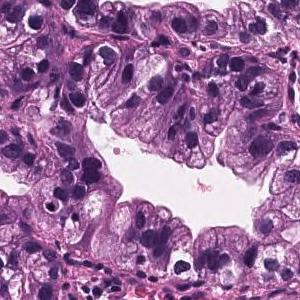
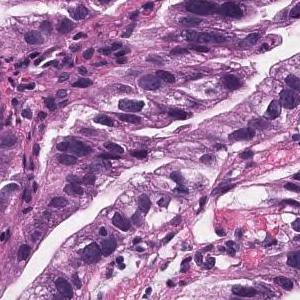
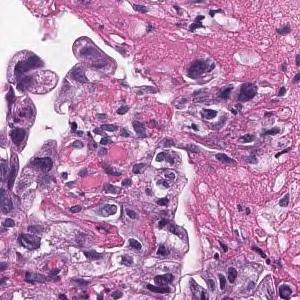
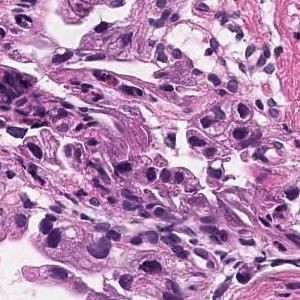
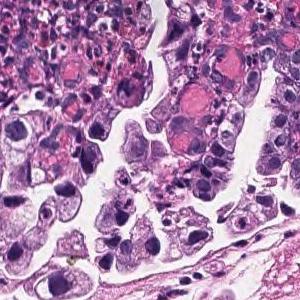
H&E stain, 5 patches cut from one gastric biopsy slide.
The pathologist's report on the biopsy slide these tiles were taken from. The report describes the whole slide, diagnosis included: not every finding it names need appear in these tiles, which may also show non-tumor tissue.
Tumor cells are large, highly columnar, large club-shaped nuclei, and are associated with chromatin aggregation. Papillary adenocarcinoma.
